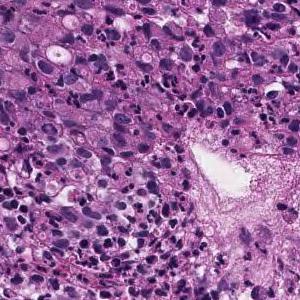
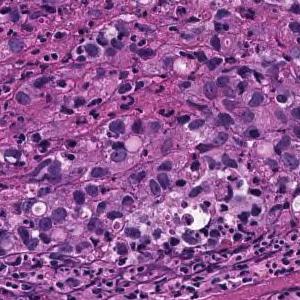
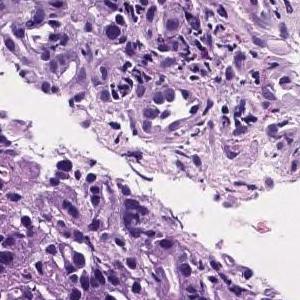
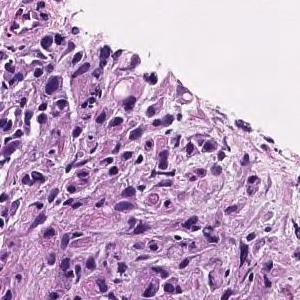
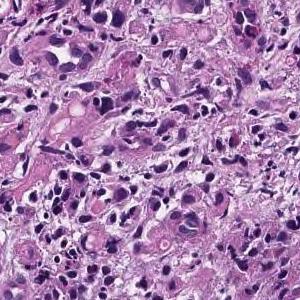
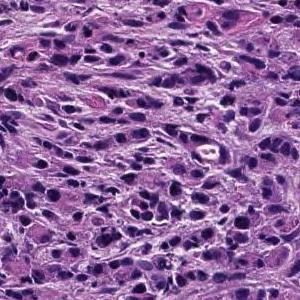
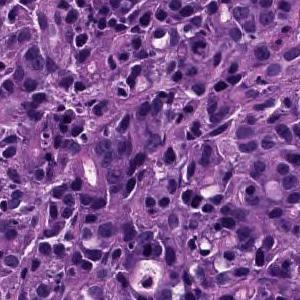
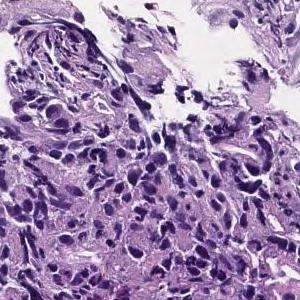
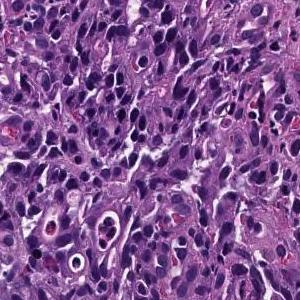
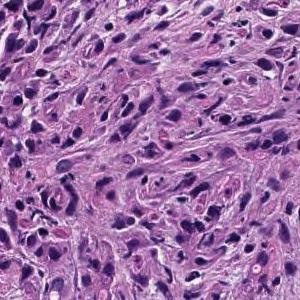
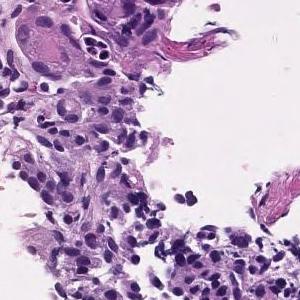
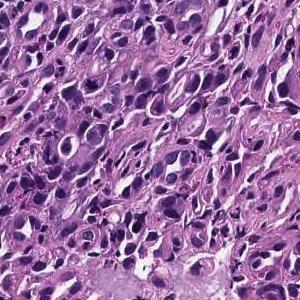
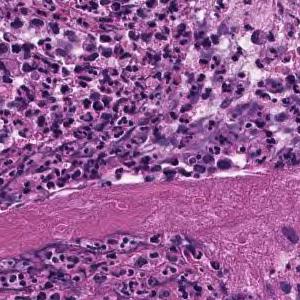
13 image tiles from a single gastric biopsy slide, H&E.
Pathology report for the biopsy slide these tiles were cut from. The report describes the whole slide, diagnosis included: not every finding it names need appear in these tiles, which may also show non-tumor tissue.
The superficial epithelium shows a large sheet-like shape, and some tumor tissue infiltrates with small irregular ducts. Poorly differentiated adenocarcinoma, solid-type
Histologic type: Poorly differentiated adenocarcinoma, solid type. This name comes from the Japanese Classification of Gastric Carcinoma; the WHO 2019 classification calls it tubular adenocarcinoma, poorly differentiated.
